6 image tiles from a single gastric biopsy slide; each 300 × 300 pixels; scanned at ×20; H&E stain.
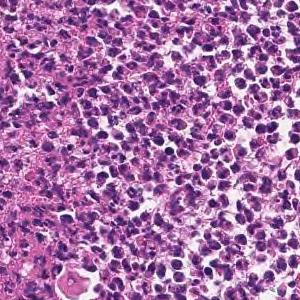
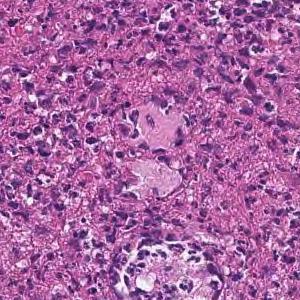
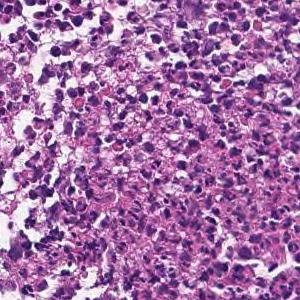
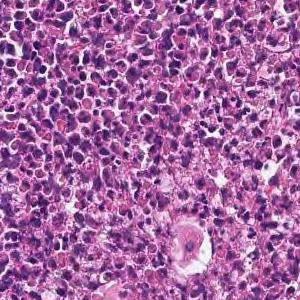
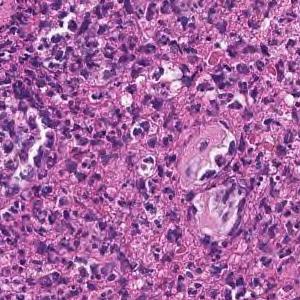
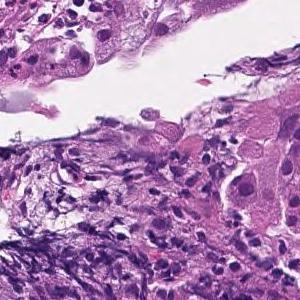
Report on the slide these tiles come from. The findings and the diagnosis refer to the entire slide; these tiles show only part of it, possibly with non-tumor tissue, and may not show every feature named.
In the superficial epithelium, tumor tissue infiltrated by partial fusion of medium-sized to small, irregular glandular ducts is observed. moderately differentiated tubular adenocarcinoma
